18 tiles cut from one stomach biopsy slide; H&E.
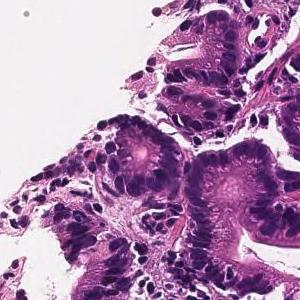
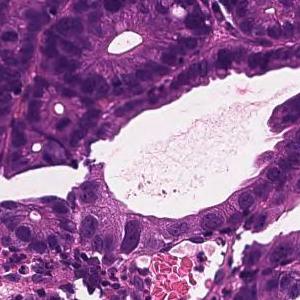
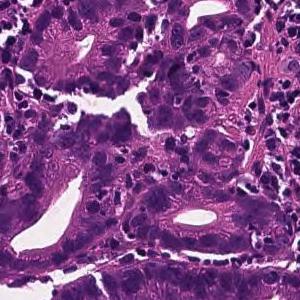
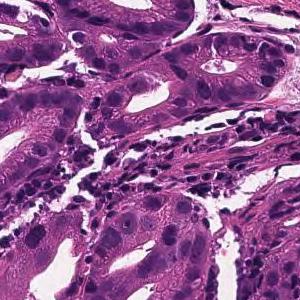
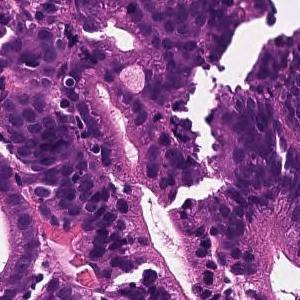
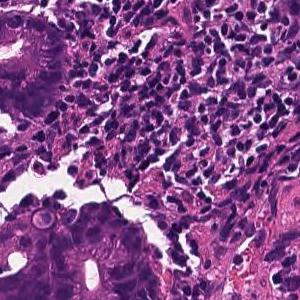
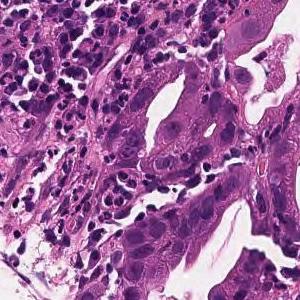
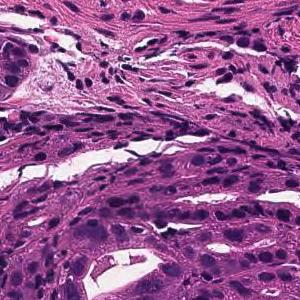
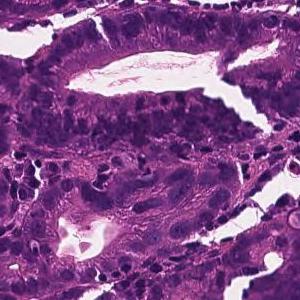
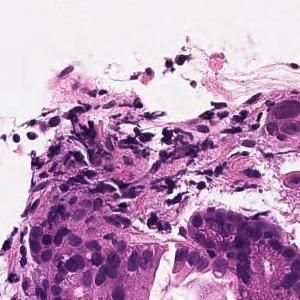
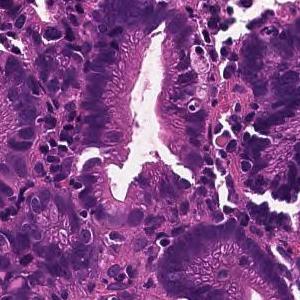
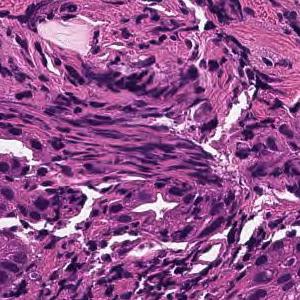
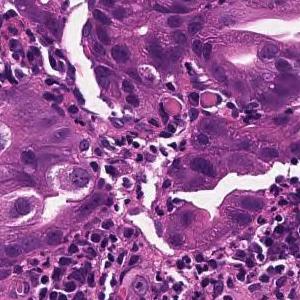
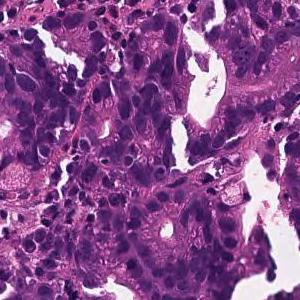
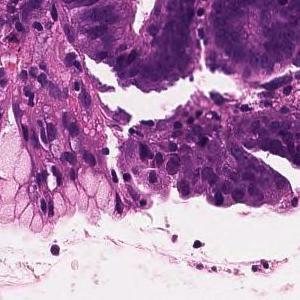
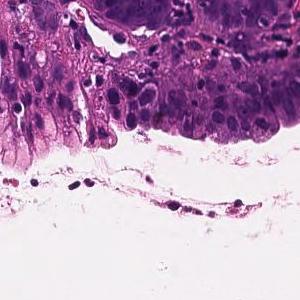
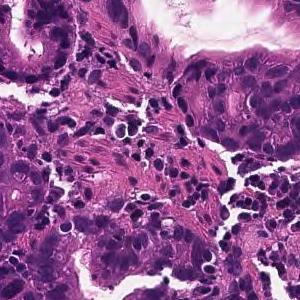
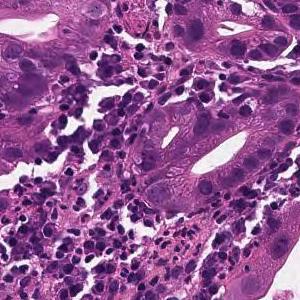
Report on the slide these tiles come from. Both the report and the diagnosis are for the whole slide: these tiles need not show every feature named, and some of the tissue shown may not be tumor.
From the superficial epithelium to the muscularis mucosae, tumor tissue that invades by forming medium-sized irregular gland ducts is observed. Well differentiated tubular adenocarcinoma
